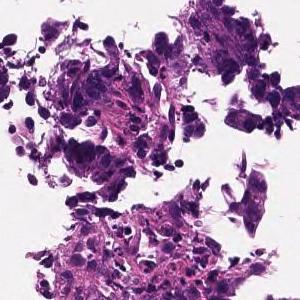
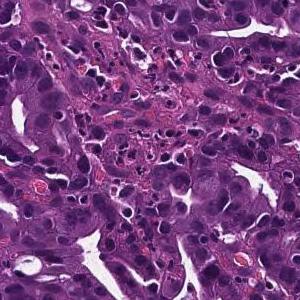
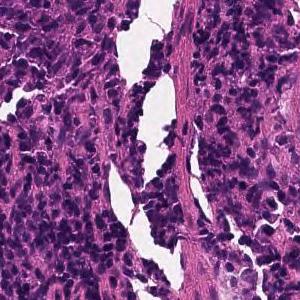
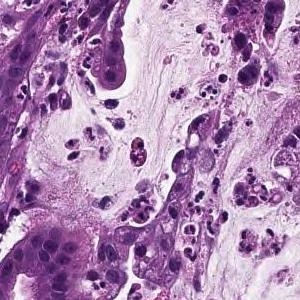
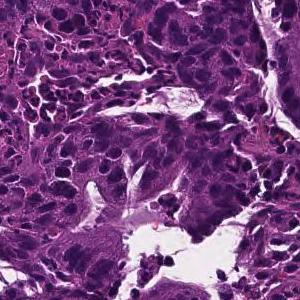
5 patches cut from one gastric biopsy slide · scanned at ×20 · H&E.
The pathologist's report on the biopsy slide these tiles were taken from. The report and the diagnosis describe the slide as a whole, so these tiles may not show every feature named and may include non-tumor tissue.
On the superficial epithelium, tumor tissue consisting of large irregular glandular ducts partially fused and infiltrated is observed. Well to moderately differentiated tubular adenocarcinoma (well differentiated tubular adenocarcinoma, moderately differentiated tubular adenocarcinoma)
Tumor subtype: well to moderately differentiated tubular adenocarcinoma.
